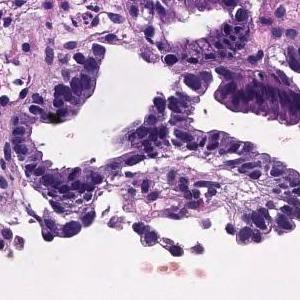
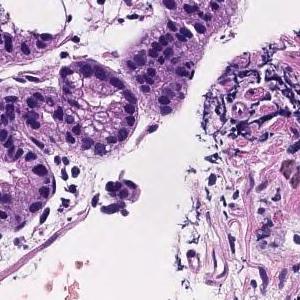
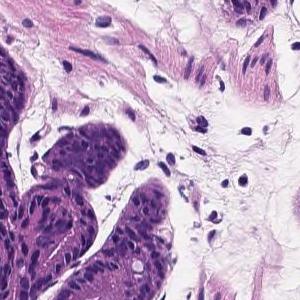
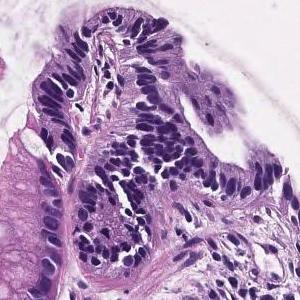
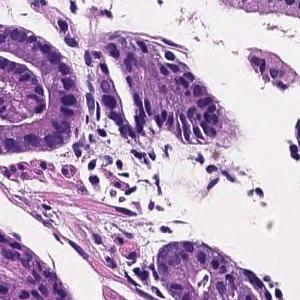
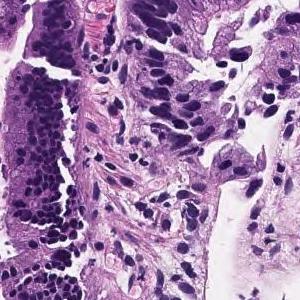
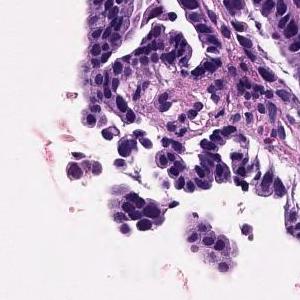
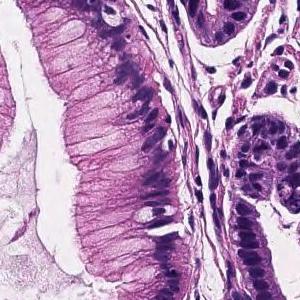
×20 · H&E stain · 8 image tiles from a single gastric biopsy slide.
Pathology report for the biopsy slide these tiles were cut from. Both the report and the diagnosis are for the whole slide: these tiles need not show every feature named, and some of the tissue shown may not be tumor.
Tumor cells are large, highly columnar, large club-shaped nuclei, and are associated with chromatin aggregation. Papillary adenocarcinoma.
